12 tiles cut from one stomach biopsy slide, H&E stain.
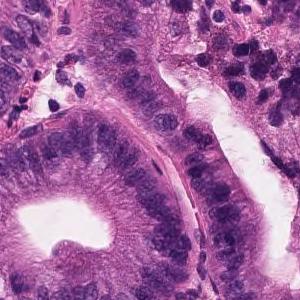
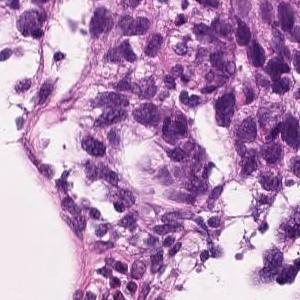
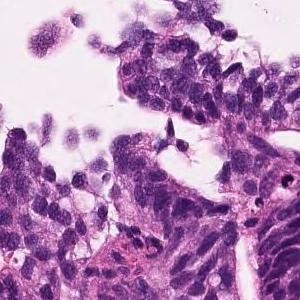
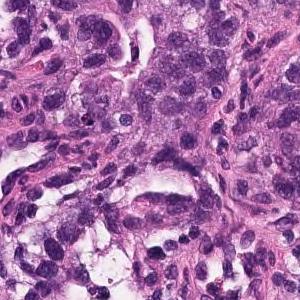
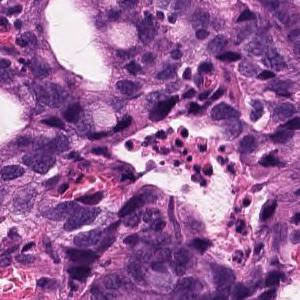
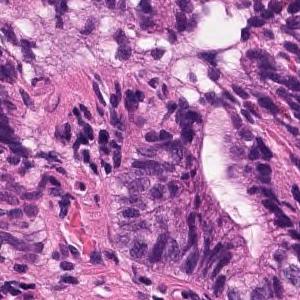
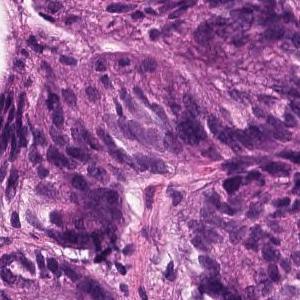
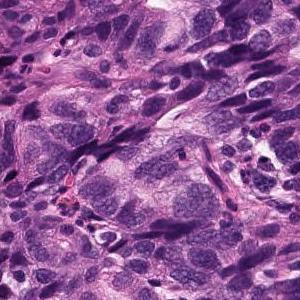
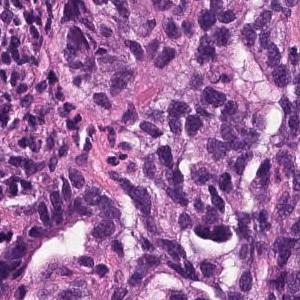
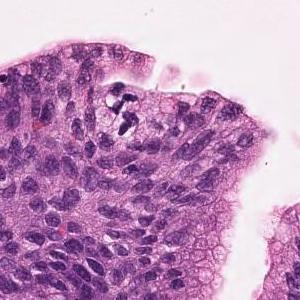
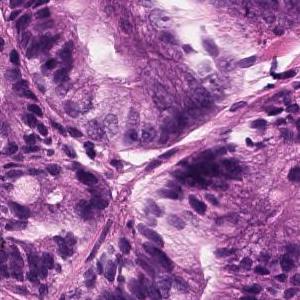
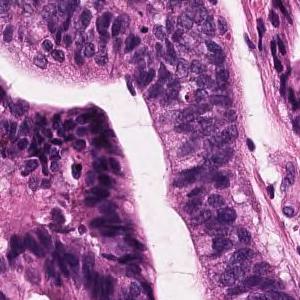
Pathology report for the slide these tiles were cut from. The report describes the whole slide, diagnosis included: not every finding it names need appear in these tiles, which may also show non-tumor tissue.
In the superficial epithelium, tumor tissue that invades by forming medium-sized to small, irregular ducts is observed. Moderately differentiated adenocarcinoma.
Histological subtype: Moderately differentiated tubular adenocarcinoma.
